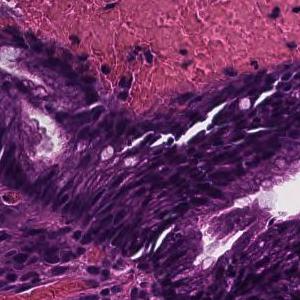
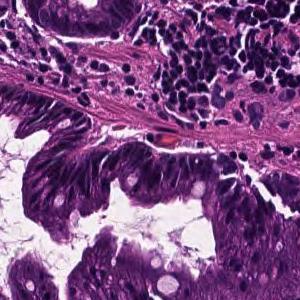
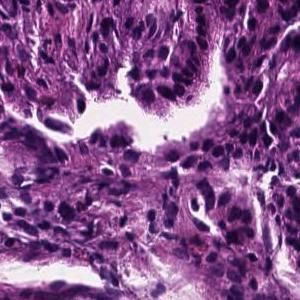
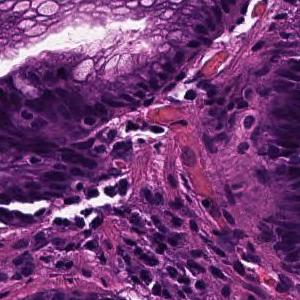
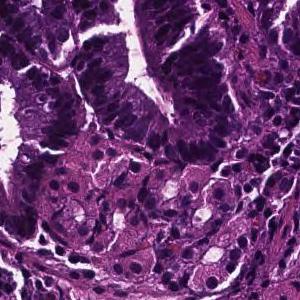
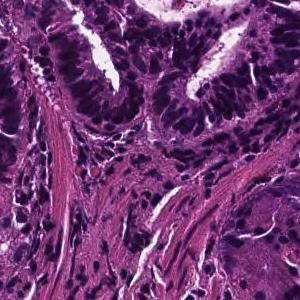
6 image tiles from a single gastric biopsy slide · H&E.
Report on the slide these tiles come from. Both the report and the diagnosis are for the whole slide: these tiles need not show every feature named, and some of the tissue shown may not be tumor.
In the superficial epithelium, tumor tissue that invades by forming medium-sized to small, irregular ducts is observed. Well differentiated tubular adenocarcinoma.
